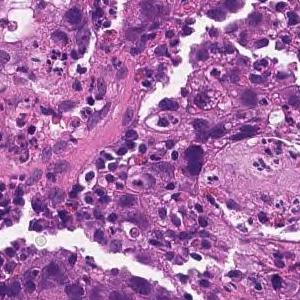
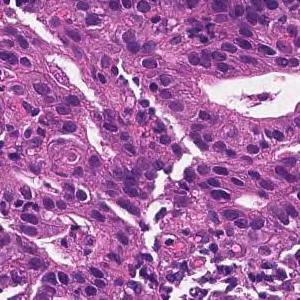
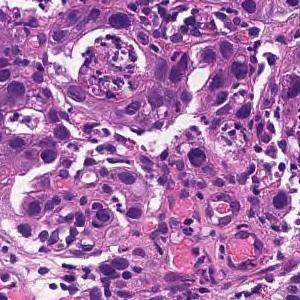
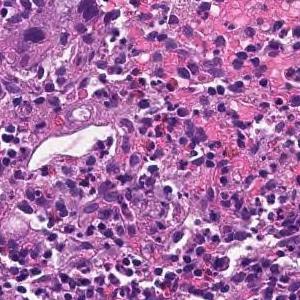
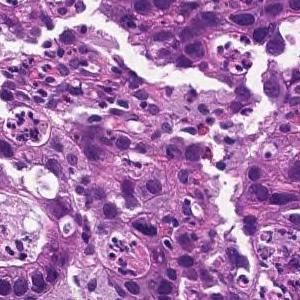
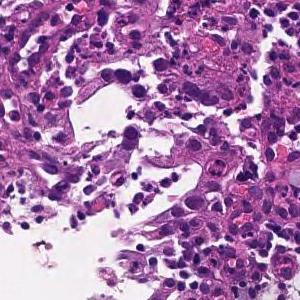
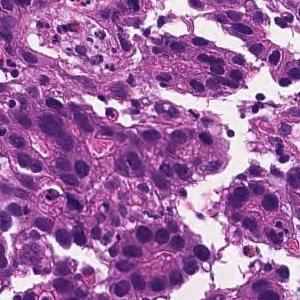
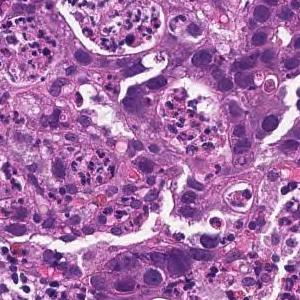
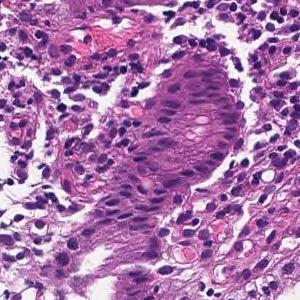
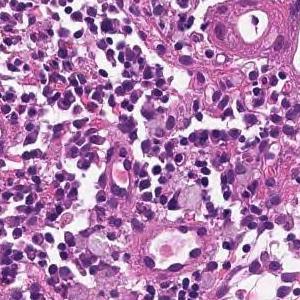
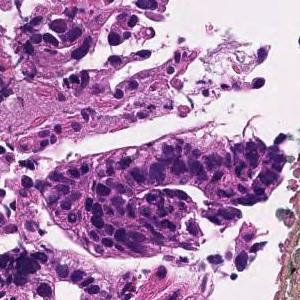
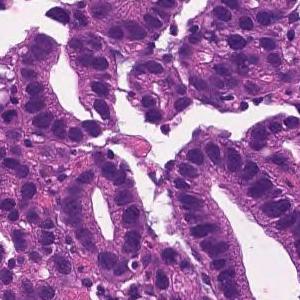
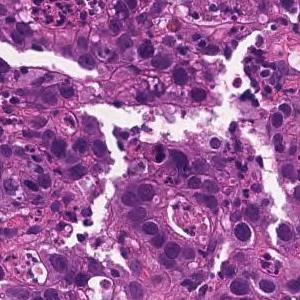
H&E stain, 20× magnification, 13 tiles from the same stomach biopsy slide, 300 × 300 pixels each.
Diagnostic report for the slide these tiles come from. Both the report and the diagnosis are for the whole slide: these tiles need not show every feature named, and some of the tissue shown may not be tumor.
Medium to small, irregular glandular ducts are formed in the superficial epithelium, and in some cases, the glandular ducts are fused to show solid alveolar lesions and infiltrating tumor tissue is observed. Moderately to poorly differentiated adenocarcinoma.
